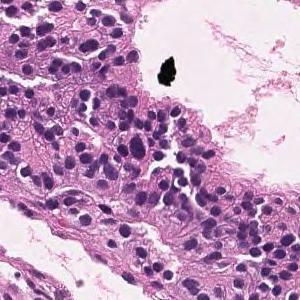
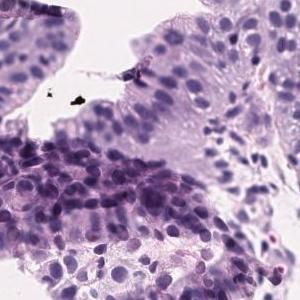
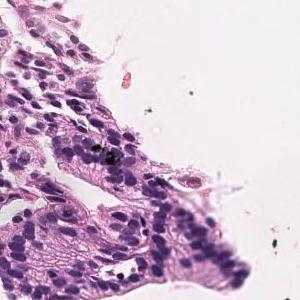
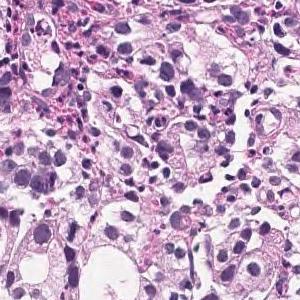
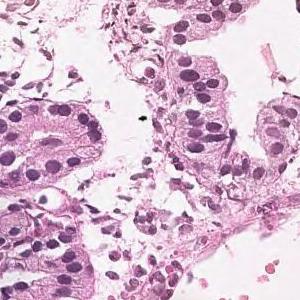
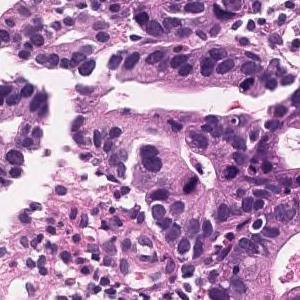
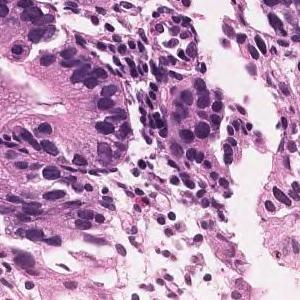
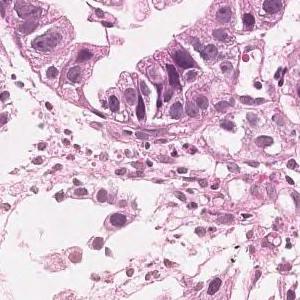
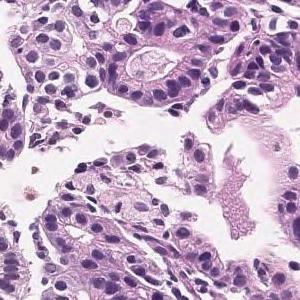
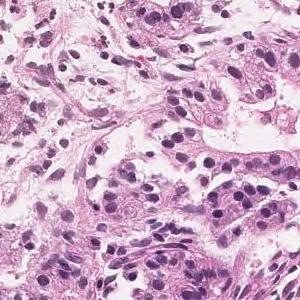
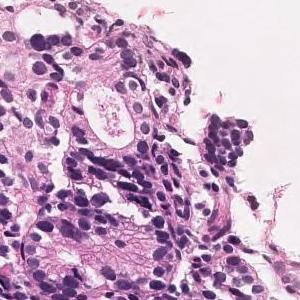
11 tiles cut from one stomach biopsy slide, 300 × 300 pixels each.
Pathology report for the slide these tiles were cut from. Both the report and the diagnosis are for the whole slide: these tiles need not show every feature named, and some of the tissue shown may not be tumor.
In the superficial epithelium, tumor tissue that invades by forming medium-sized to small, irregular ducts is observed. moderately differentiated tubular adenocarcinoma.
